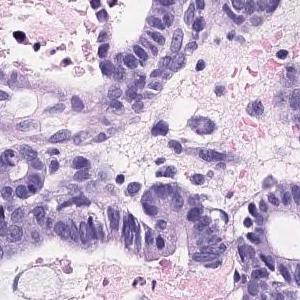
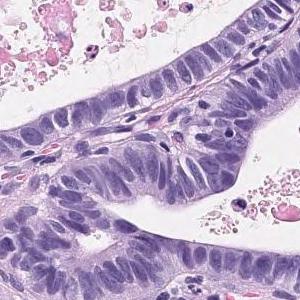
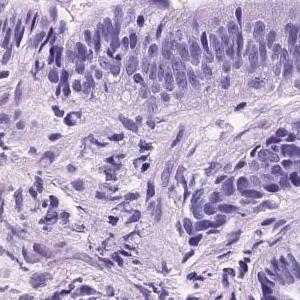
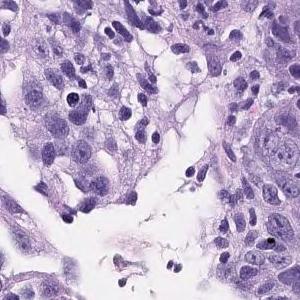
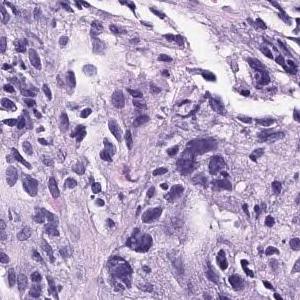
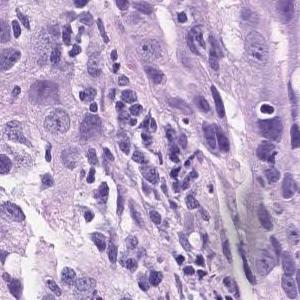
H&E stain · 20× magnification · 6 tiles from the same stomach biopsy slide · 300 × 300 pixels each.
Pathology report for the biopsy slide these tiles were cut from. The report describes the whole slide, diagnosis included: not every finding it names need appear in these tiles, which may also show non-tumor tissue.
The superficial epithelium shows a large sheet-like shape, and some tumor tissue infiltrates with small irregular ducts. Poorly differentiated adenocarcinoma, solid-type
Tumor subtype: poorly differentiated adenocarcinoma, solid type, a category of the Japanese Classification of Gastric Carcinoma; in the WHO 2019 classification it is tubular adenocarcinoma, poorly differentiated.
